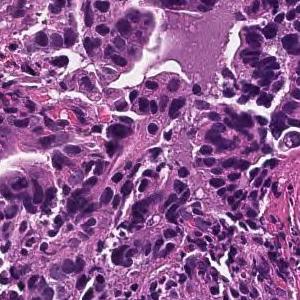
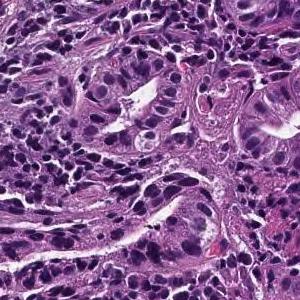
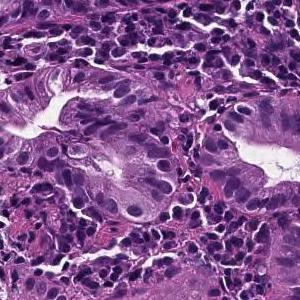
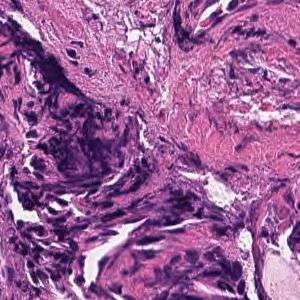
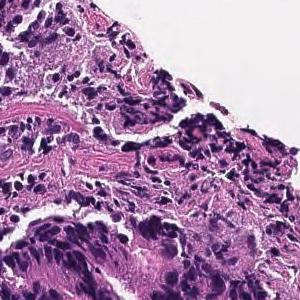
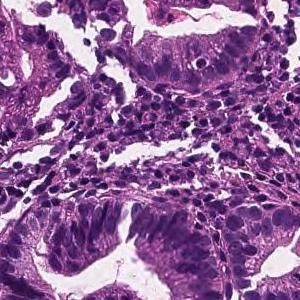
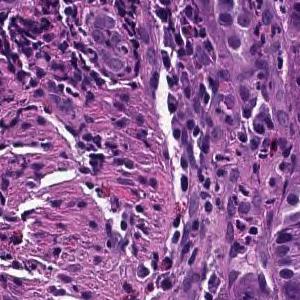
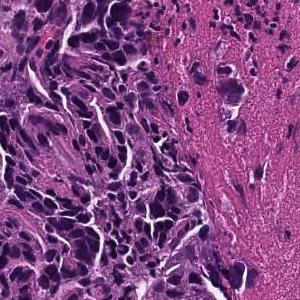
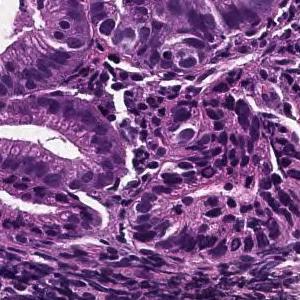
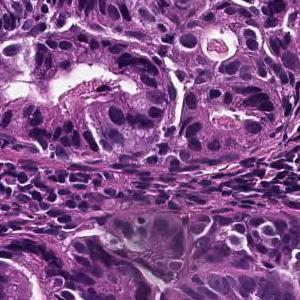
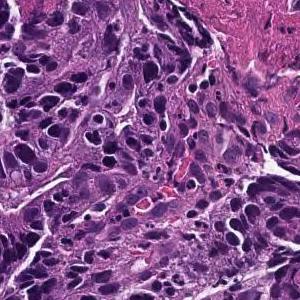
H&E · 11 patches cut from one gastric biopsy slide · each 300 × 300 pixels.
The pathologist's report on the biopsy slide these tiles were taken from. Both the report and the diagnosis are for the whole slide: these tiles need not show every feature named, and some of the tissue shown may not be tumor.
On the superficial epithelium, tumor tissue consisting of large irregular glandular ducts partially fused and infiltrated is observed. Well to moderately differentiated tubular adenocarcinoma (well differentiated tubular adenocarcinoma, moderately differentiated tubular adenocarcinoma)
Classified as well to moderately differentiated tubular adenocarcinoma.
